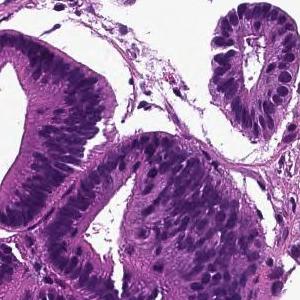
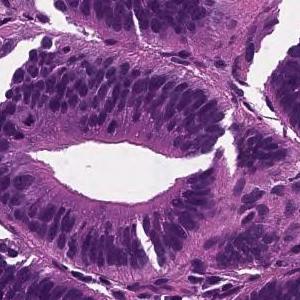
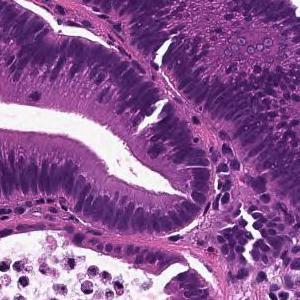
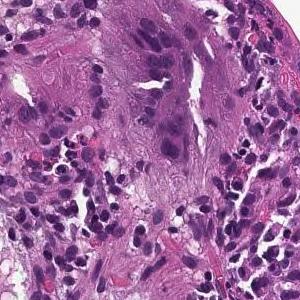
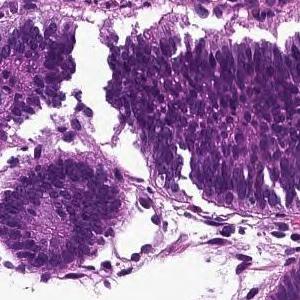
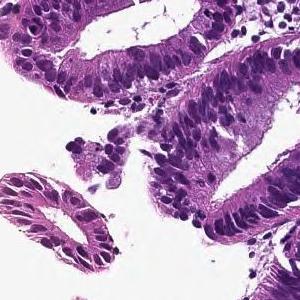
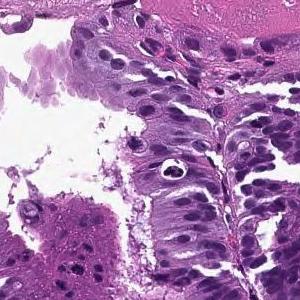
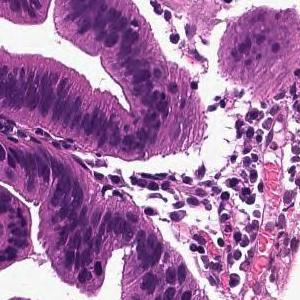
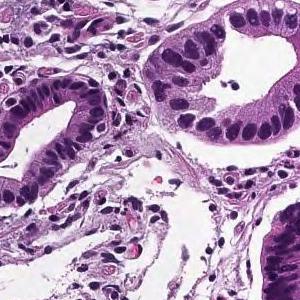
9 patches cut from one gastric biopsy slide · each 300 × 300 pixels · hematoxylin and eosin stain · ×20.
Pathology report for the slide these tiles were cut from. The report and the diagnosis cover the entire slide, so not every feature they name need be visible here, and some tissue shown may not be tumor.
From the superficial epithelium to the muscularis mucosae, tumor tissue consisting of medium-sized and irregular glandular ducts infiltrating is observed. Well differentiated tubular adenocarcinoma
